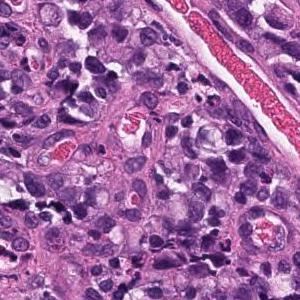
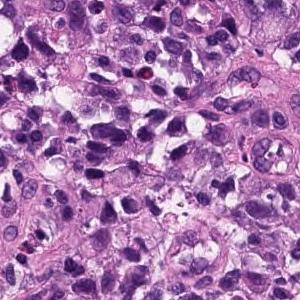
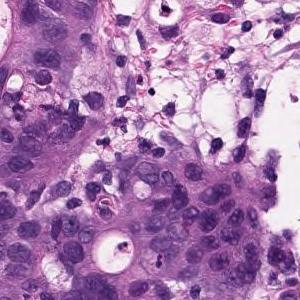
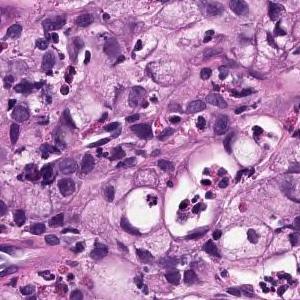
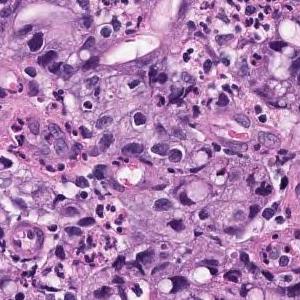
20× magnification; hematoxylin and eosin stain; 5 image tiles from a single gastric biopsy slide; 300×300 px each.
Pathology report for the biopsy slide these tiles were cut from. The findings and the diagnosis refer to the entire slide; these tiles show only part of it, possibly with non-tumor tissue, and may not show every feature named.
Atypical epithelium forms irregularly fused gland ducts and proliferates. Poorly differentiated adenocarcinoma.
Tumor subtype: poorly differentiated adenocarcinoma, non-solid type.
The term "non-solid type" comes from the Japanese Classification of Gastric Carcinoma.
